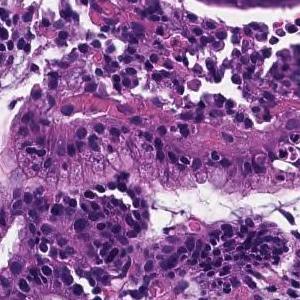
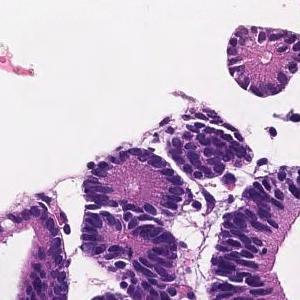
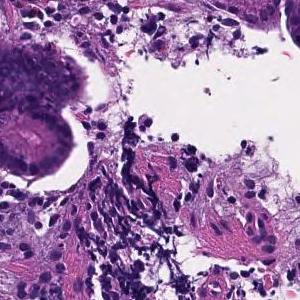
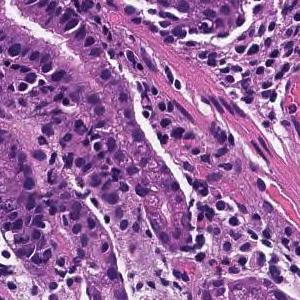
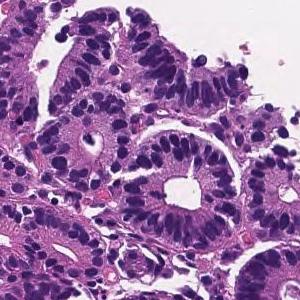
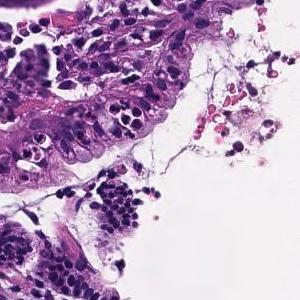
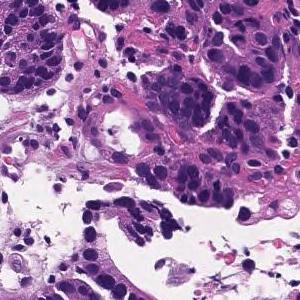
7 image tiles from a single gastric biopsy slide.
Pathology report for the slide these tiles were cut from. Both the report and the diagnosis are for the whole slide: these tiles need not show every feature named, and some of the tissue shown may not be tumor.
From the superficial epithelium to the muscularis mucosae, tumor tissue consisting of medium-sized and irregular glandular ducts infiltrating is observed. Well differentiated tubular adenocarcinoma
